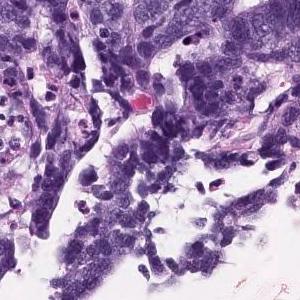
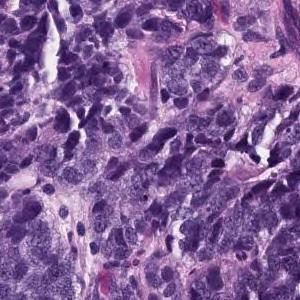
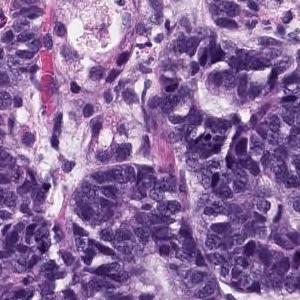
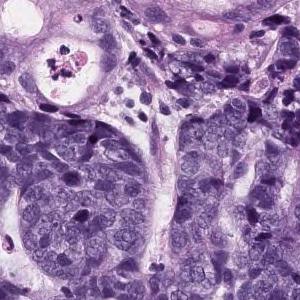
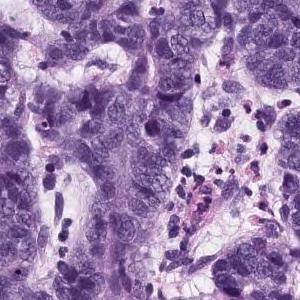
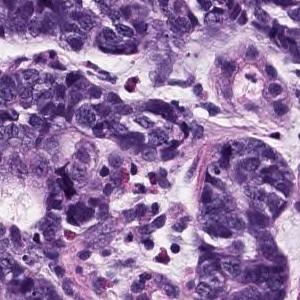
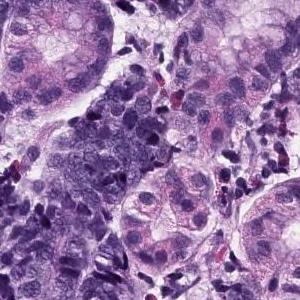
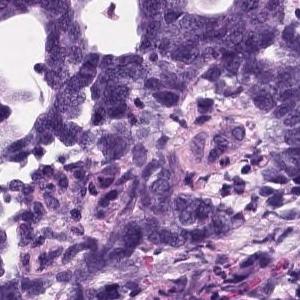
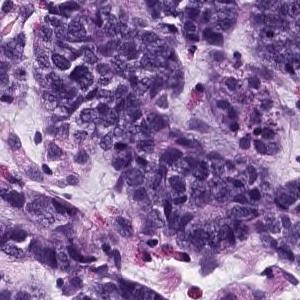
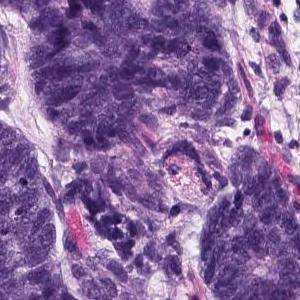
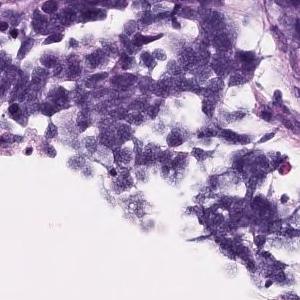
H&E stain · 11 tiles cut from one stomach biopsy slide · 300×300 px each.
Report on the slide these tiles come from. The report describes the whole slide, diagnosis included: not every finding it names need appear in these tiles, which may also show non-tumor tissue.
Group 5, Adenocarcinoma. Moderately to poorly differentiated adenocarcinoma
